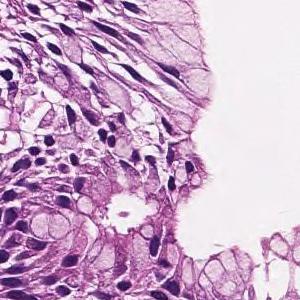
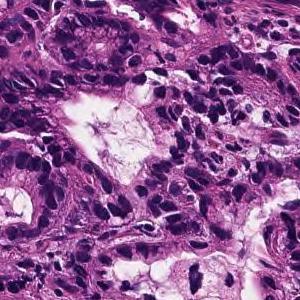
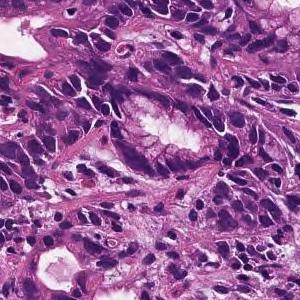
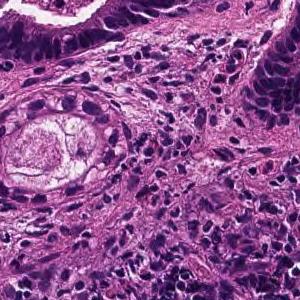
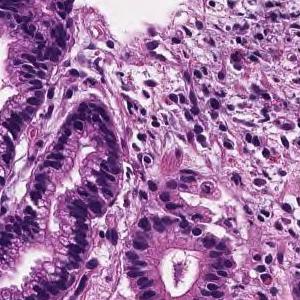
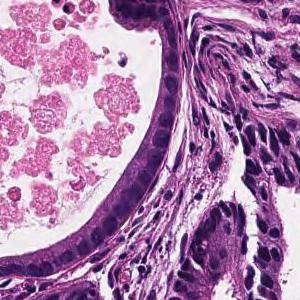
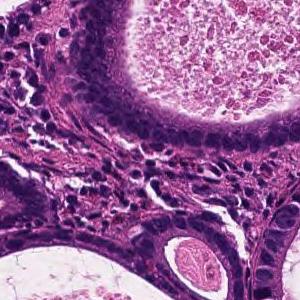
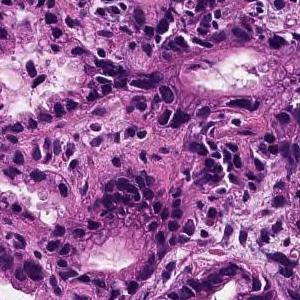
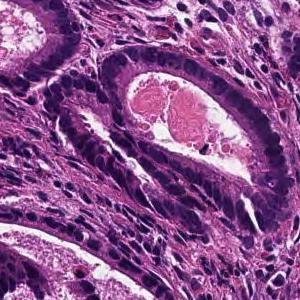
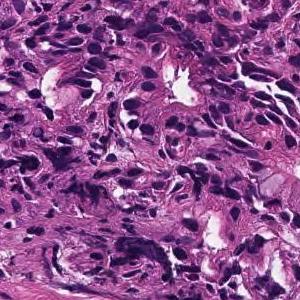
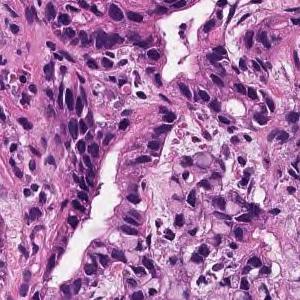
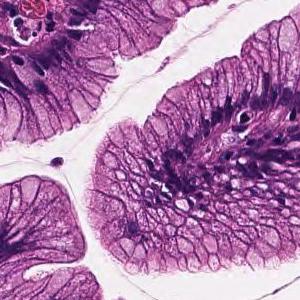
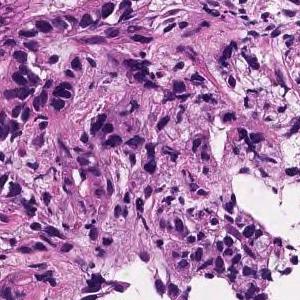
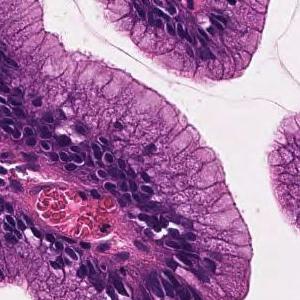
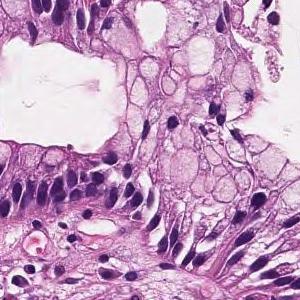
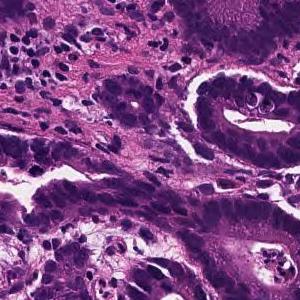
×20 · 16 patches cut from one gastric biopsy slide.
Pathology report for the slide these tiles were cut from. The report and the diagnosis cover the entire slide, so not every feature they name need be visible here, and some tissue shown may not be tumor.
On the superficial epithelium, tumor tissue consisting of medium-sized and irregular glandular ducts partially fused and infiltrated is observed. Well to moderately differentiated tubular adenocarcinoma (well differentiated tubular adenocarcinoma-moderately differentiated tubular adenocarcinoma)
Classified as well to moderately differentiated tubular adenocarcinoma.
